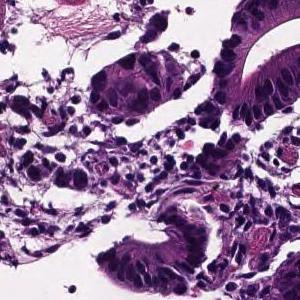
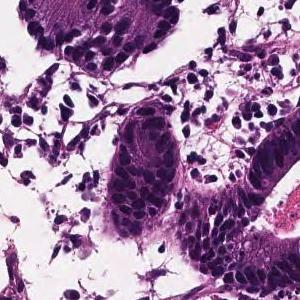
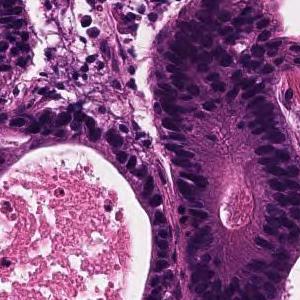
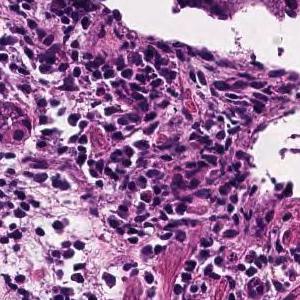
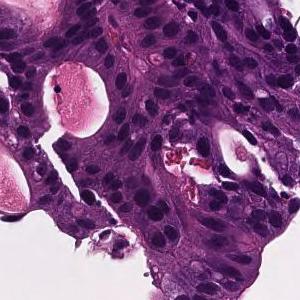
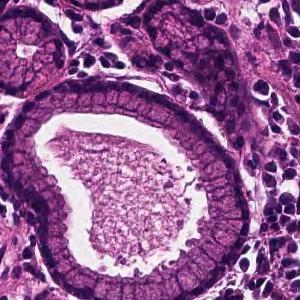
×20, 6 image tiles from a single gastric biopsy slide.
Pathology report for the biopsy slide these tiles were cut from. The report and the diagnosis cover the entire slide, so not every feature they name need be visible here, and some tissue shown may not be tumor.
In the superficial epithelium, tumor tissue that invades by forming medium-sized to small, irregular ducts is observed. moderately differentiated tubular adenocarcinoma.
